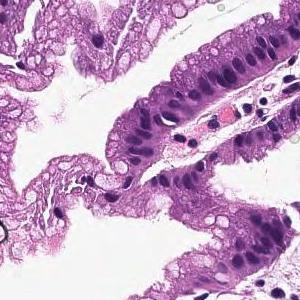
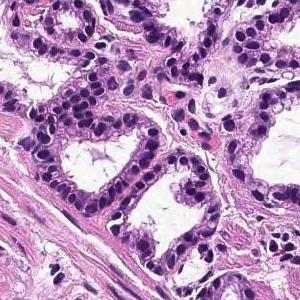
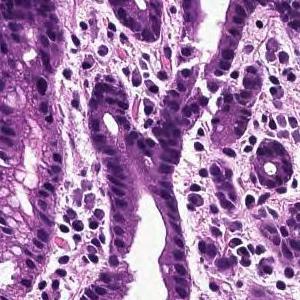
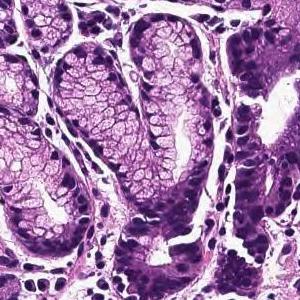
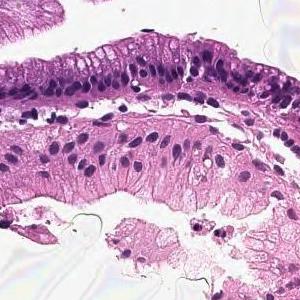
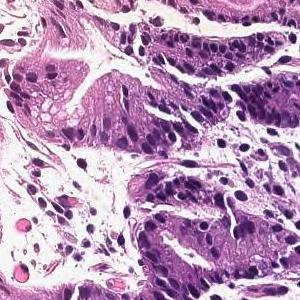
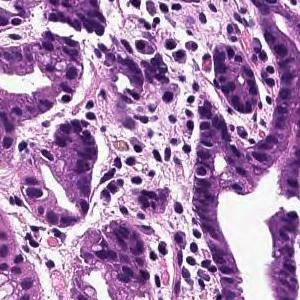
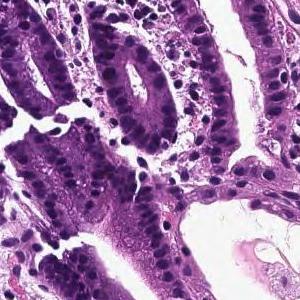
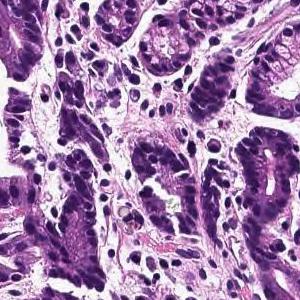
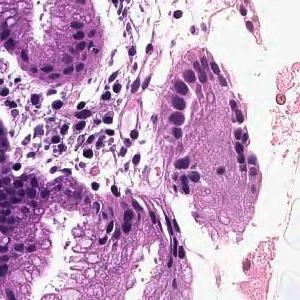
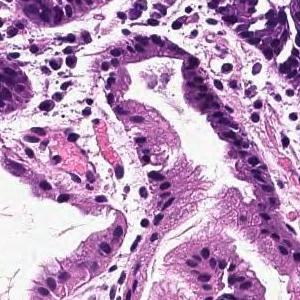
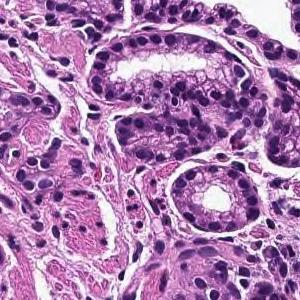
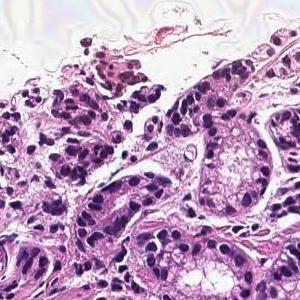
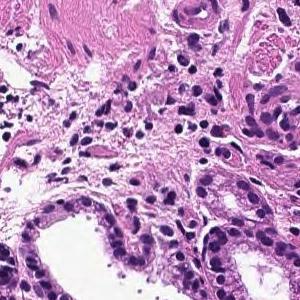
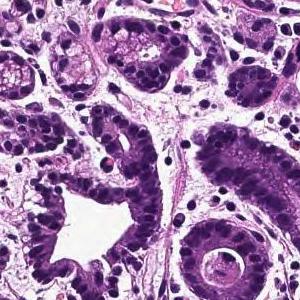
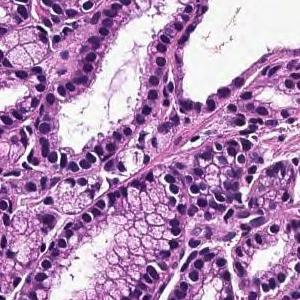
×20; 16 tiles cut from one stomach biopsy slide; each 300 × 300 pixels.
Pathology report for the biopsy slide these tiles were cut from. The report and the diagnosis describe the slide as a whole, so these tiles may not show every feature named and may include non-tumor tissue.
In the superficial epithelium, tumor tissue that invades by forming medium-sized to small, irregular ducts is observed. moderately differentiated tubular adenocarcinoma.
